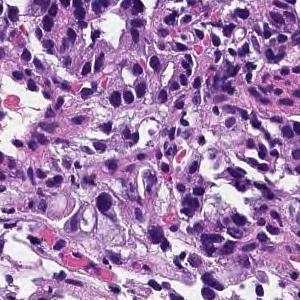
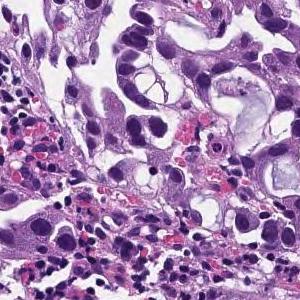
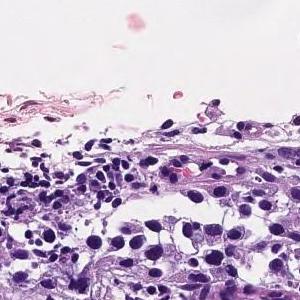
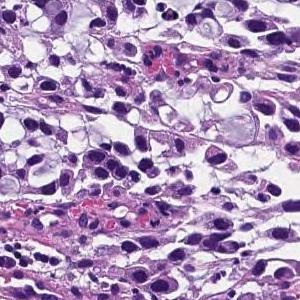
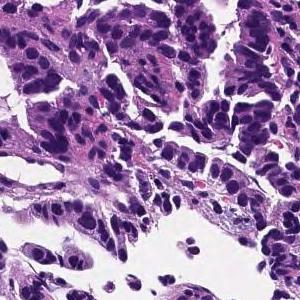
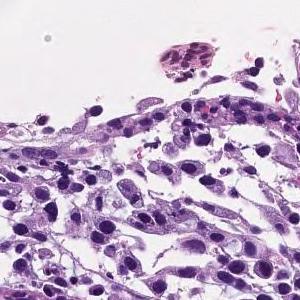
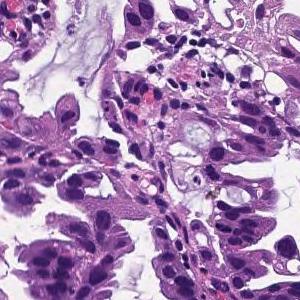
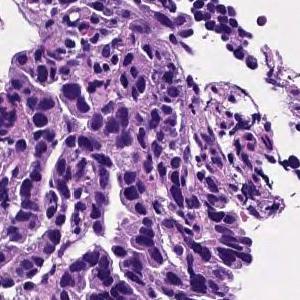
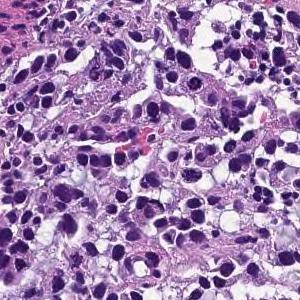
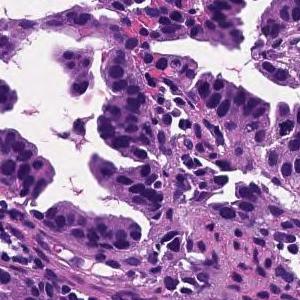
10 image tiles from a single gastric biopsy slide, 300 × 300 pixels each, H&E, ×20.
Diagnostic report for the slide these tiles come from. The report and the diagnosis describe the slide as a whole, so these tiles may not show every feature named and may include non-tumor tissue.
Tumor tissue consisting of medium-sized, cord-like or irregular glandular infiltration is observed in the superficial epithelium. Poorly differentiated adenocarcinoma, non-solid type or moderately differentiated tubular adenocarcinoma
Classified as moderately to poorly differentiated adenocarcinoma.
The non-solid type named here is a Japanese Classification of Gastric Carcinoma category.
